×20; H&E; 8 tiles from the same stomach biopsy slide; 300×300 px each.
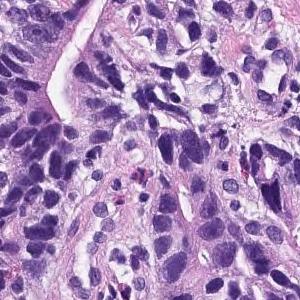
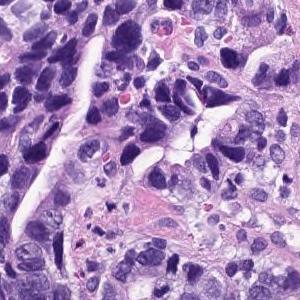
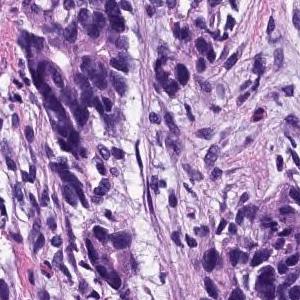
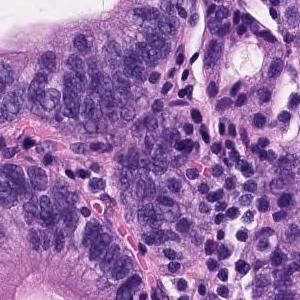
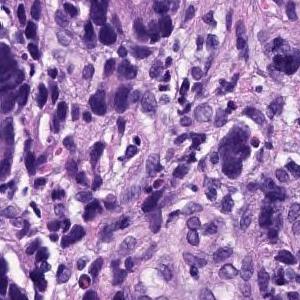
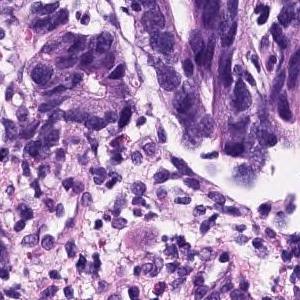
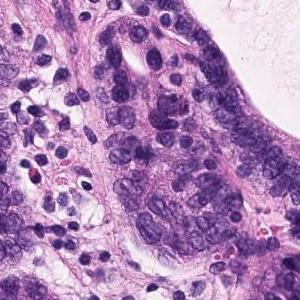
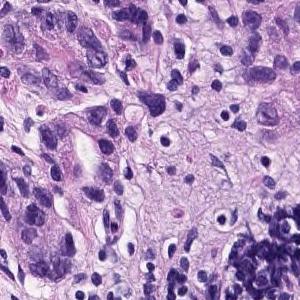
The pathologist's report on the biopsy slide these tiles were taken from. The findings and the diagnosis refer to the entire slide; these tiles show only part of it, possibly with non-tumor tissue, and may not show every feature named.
On the superficial epithelium, tumor tissue consisting of images showing invasive growth with small, irregular tubules partially fused is observed. moderately differentiated tubular adenocarcinoma
